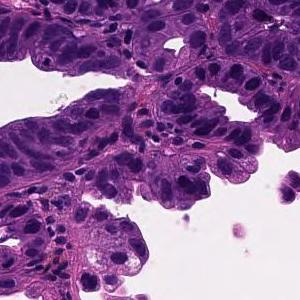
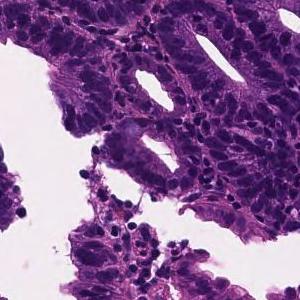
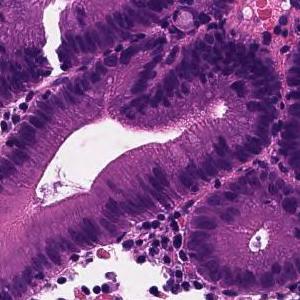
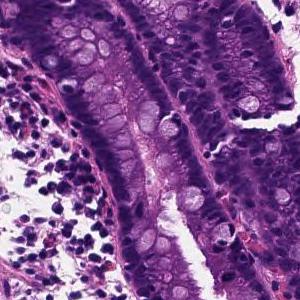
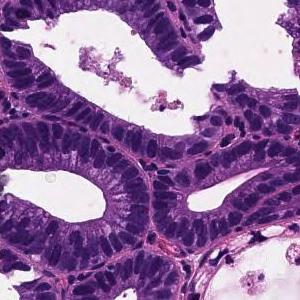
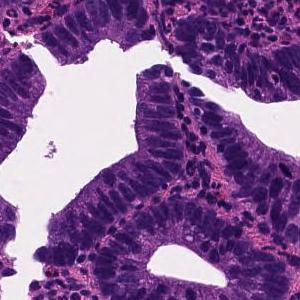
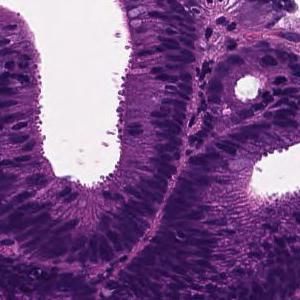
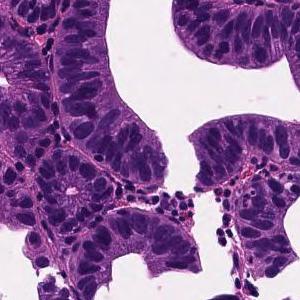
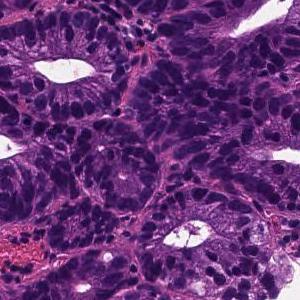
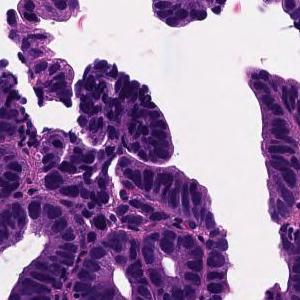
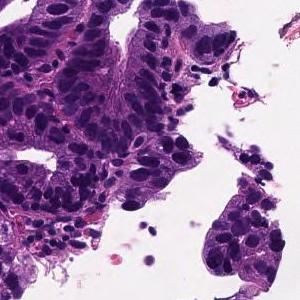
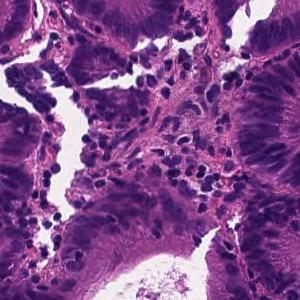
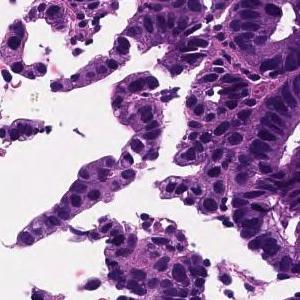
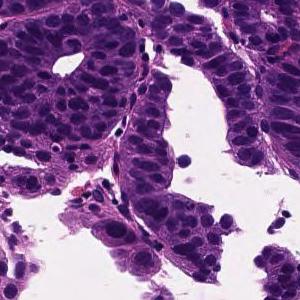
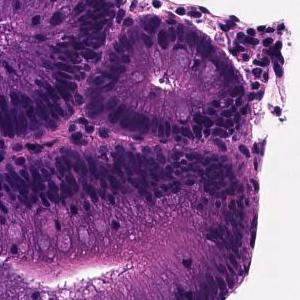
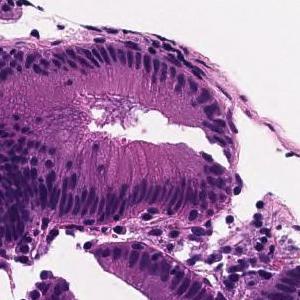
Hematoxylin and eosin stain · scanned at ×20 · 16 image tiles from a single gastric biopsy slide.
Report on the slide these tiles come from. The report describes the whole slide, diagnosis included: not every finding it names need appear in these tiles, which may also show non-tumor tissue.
Tumor tissue in which medium to small irregular ducts infiltrate and proliferate in the submucosa can be seen in the epithelium. Well differentiated tubular adenocarcinoma
